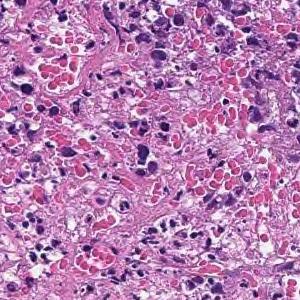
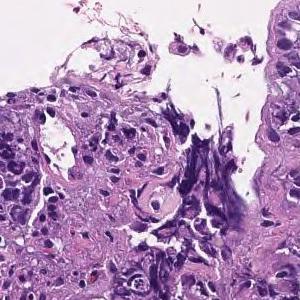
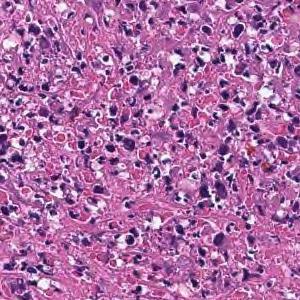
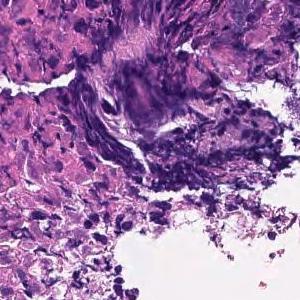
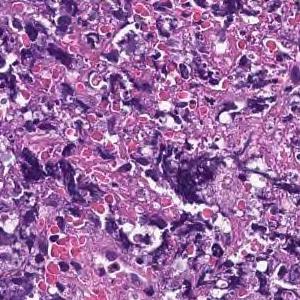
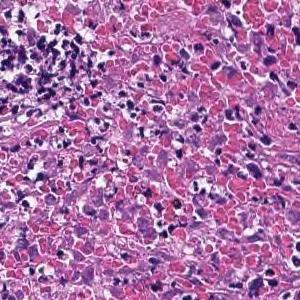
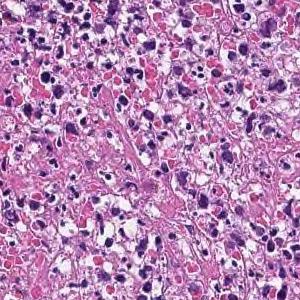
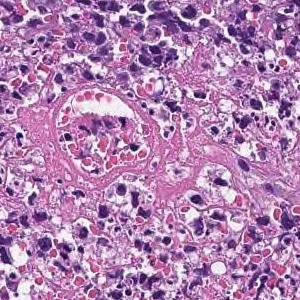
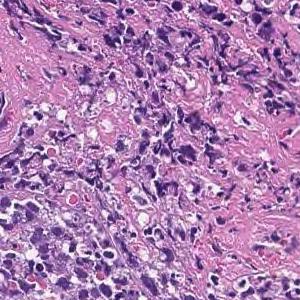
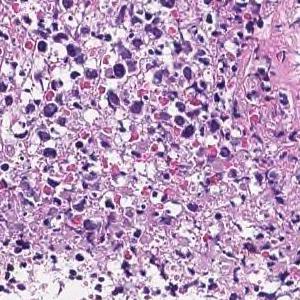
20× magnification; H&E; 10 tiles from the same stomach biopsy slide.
Diagnostic report for the slide these tiles come from. The report and the diagnosis describe the slide as a whole, so these tiles may not show every feature named and may include non-tumor tissue.
Most are composed of coagulative necrotic tissue, but some show a large sheet-like shape, and some show tumor tissue infiltrating with a small cord-like structure. Poorly differentiated adenocarcinoma, solid-type
Tumor subtype: poorly differentiated adenocarcinoma, solid type (Japanese Classification of Gastric Carcinoma). The WHO 2019 equivalent is tubular adenocarcinoma, poorly differentiated.
